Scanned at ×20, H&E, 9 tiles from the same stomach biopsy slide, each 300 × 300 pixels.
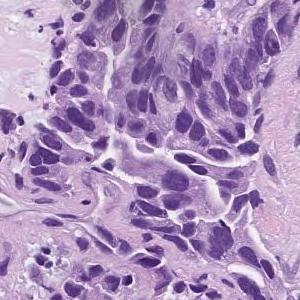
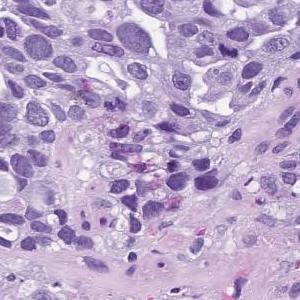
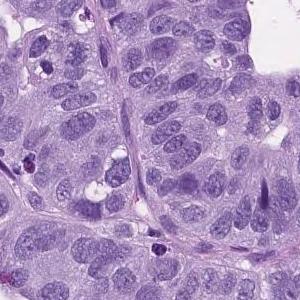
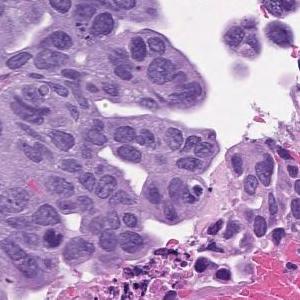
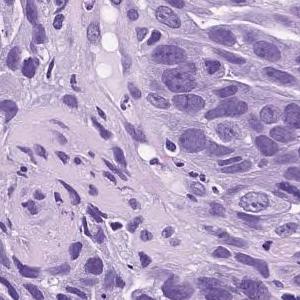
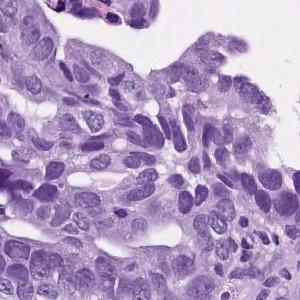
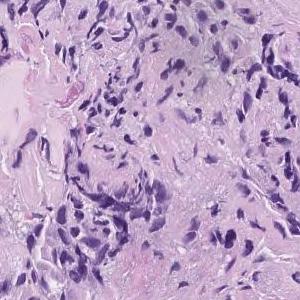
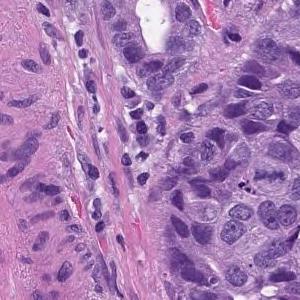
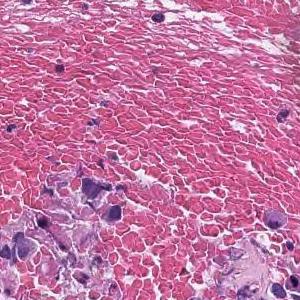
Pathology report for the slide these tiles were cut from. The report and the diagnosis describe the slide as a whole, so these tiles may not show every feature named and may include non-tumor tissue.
In the superficial epithelium, tumor tissue that invades by forming medium-sized to small, irregular ducts is observed. moderately differentiated tubular adenocarcinoma.
